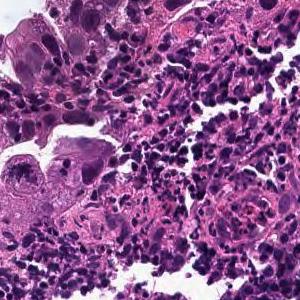
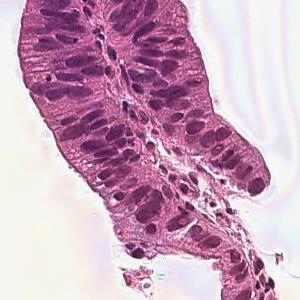
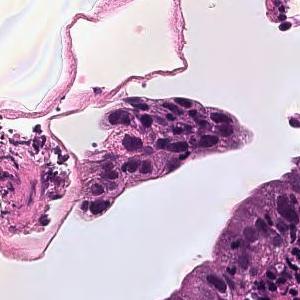
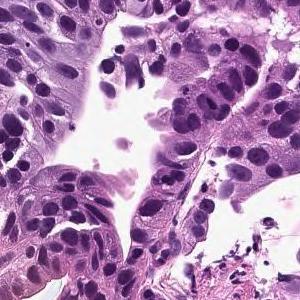
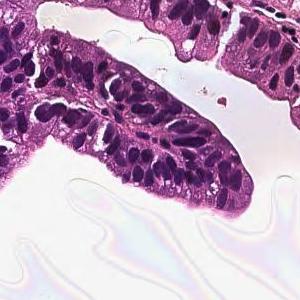
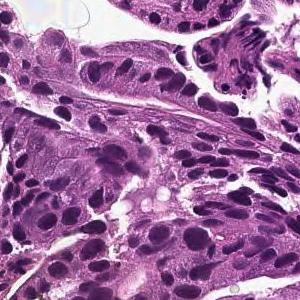
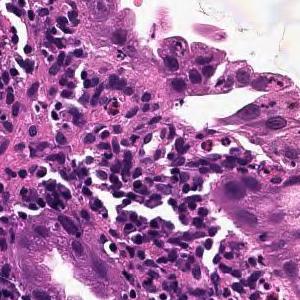
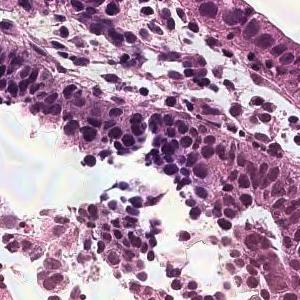
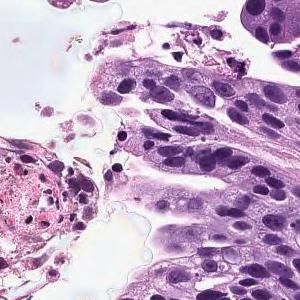
9 patches cut from one gastric biopsy slide · each 300 × 300 pixels · ×20.
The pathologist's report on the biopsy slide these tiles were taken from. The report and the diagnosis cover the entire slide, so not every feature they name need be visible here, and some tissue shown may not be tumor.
On the superficial epithelium, tumor tissue that infiltrates by forming medium-sized papillary or small irregular ducts is observed. Papillary adenocarcinoma
